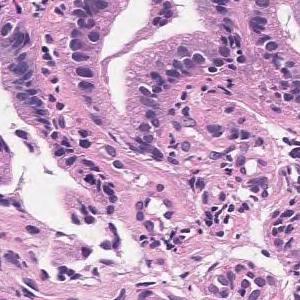
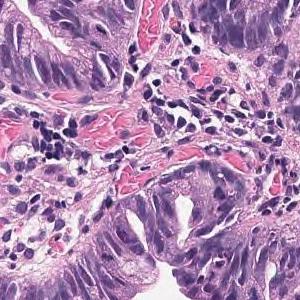
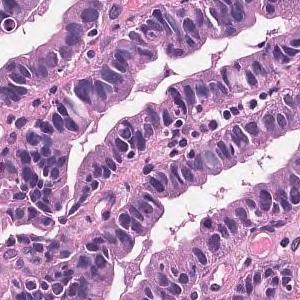
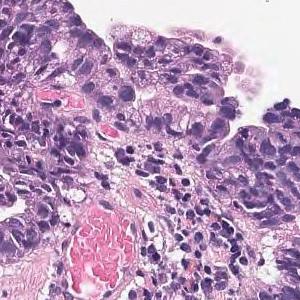
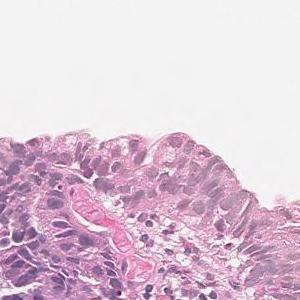
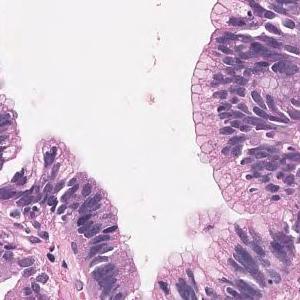
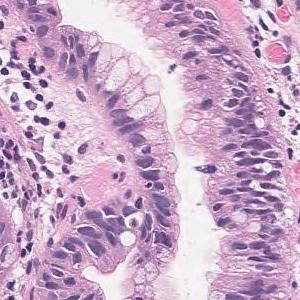
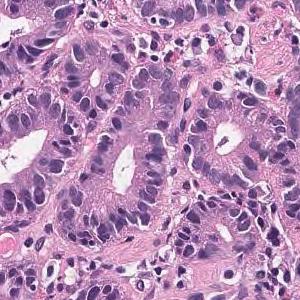
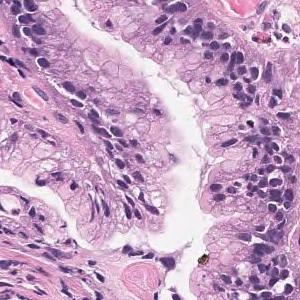
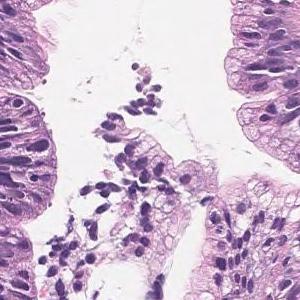
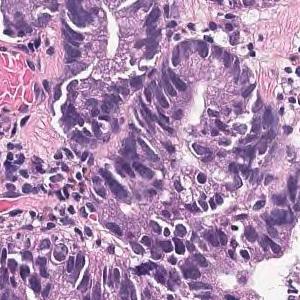
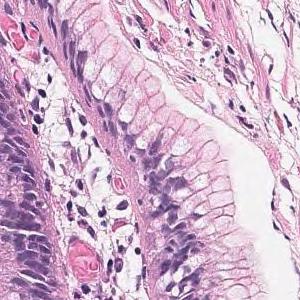
20× magnification · 12 tiles cut from one stomach biopsy slide.
Pathology report for the biopsy slide these tiles were cut from. The report describes the whole slide, diagnosis included: not every finding it names need appear in these tiles, which may also show non-tumor tissue.
Tumor tissue that grows tubular from the surface to the glandular fossa is seen. Adenocarcinoma.
Histological subtype: Well differentiated tubular adenocarcinoma.
